8 image tiles from a single gastric biopsy slide · ×20 · H&E.
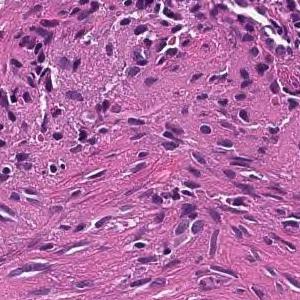
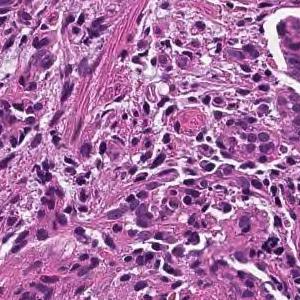
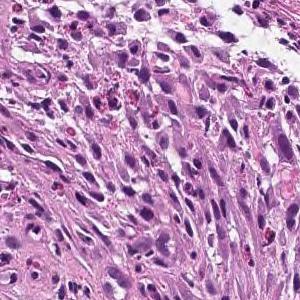
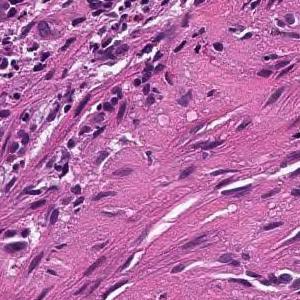
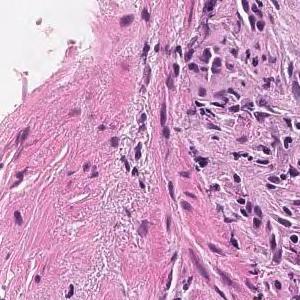
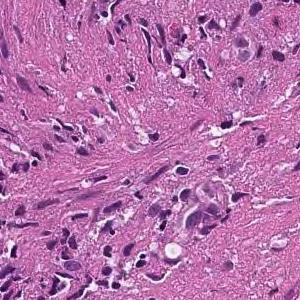
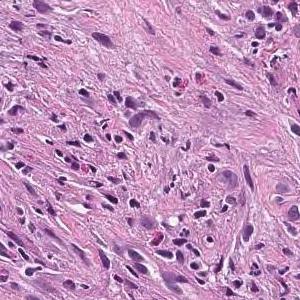
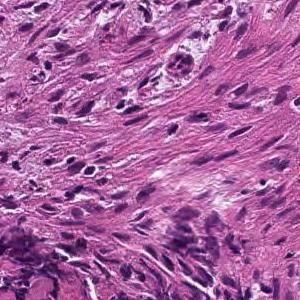
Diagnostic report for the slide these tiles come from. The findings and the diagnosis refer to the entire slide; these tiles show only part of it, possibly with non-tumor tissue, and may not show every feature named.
In the superficial epithelium, tumor tissue that invades by forming medium-sized to small, irregular ducts is observed. moderately differentiated tubular adenocarcinoma.
